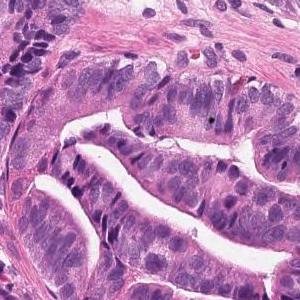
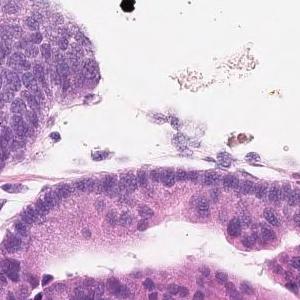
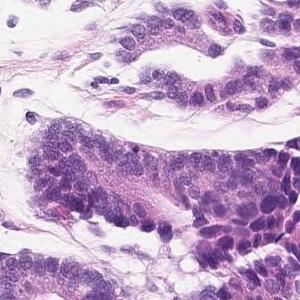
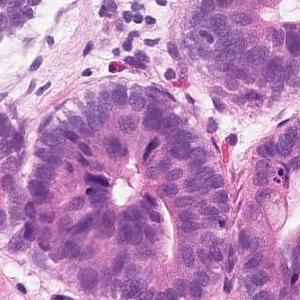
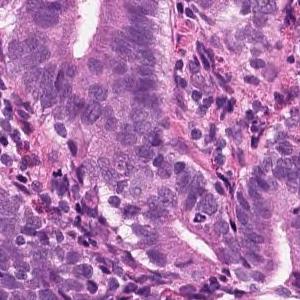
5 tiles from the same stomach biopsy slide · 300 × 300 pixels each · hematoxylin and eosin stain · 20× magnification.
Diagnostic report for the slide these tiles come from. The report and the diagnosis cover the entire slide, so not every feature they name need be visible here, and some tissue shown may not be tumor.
Atypical tubles are found to be dense. Well differentiated tubular adenocarcinoma
